H&E stain · 10 tiles cut from one stomach biopsy slide · each 300 × 300 pixels.
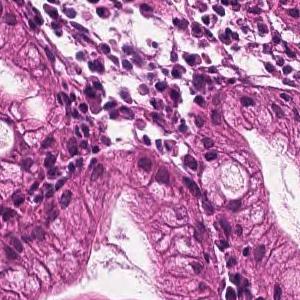
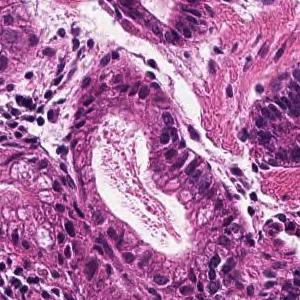
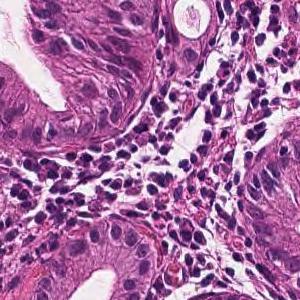
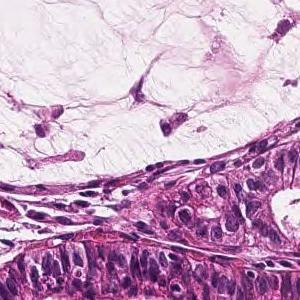
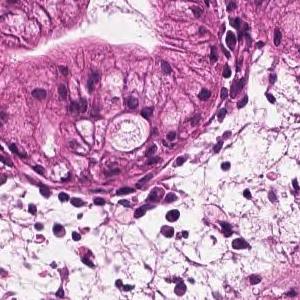
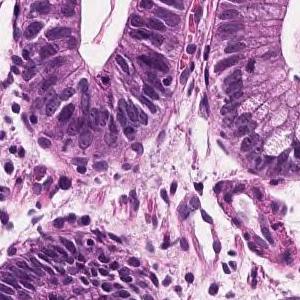
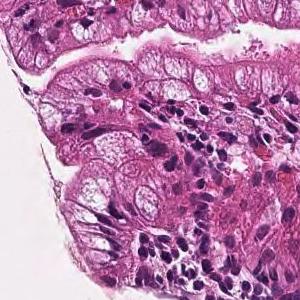
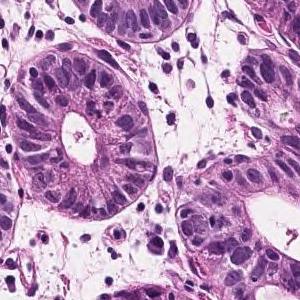
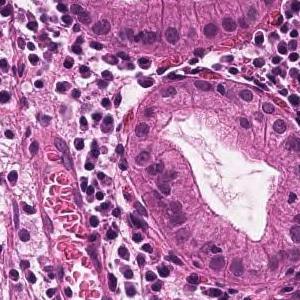
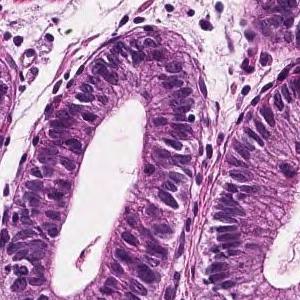
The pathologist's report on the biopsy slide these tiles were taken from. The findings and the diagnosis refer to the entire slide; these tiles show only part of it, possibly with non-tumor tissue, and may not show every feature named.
In the superficial epithelium, tumor tissue that invades by forming medium-sized to small, irregular ducts is observed. Well differentiated tubular adenocarcinoma.
